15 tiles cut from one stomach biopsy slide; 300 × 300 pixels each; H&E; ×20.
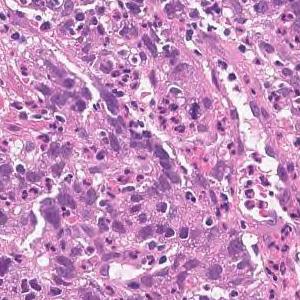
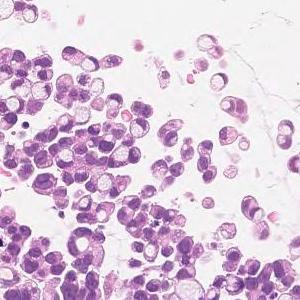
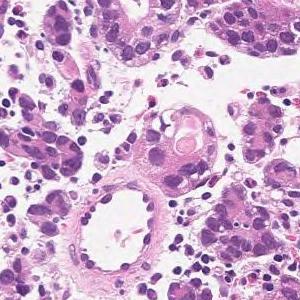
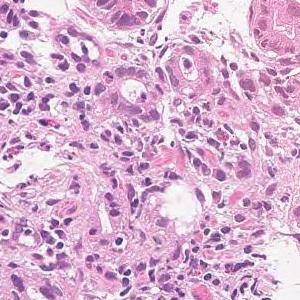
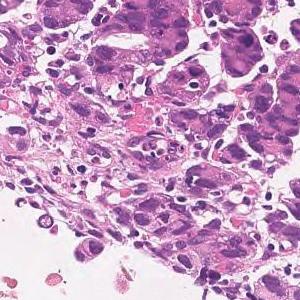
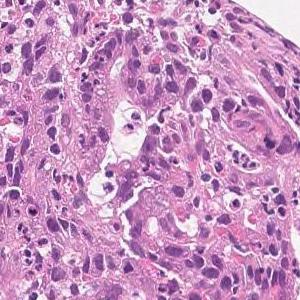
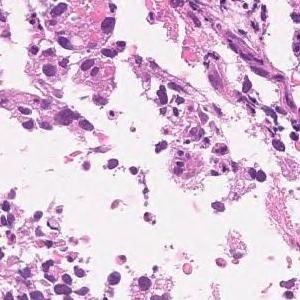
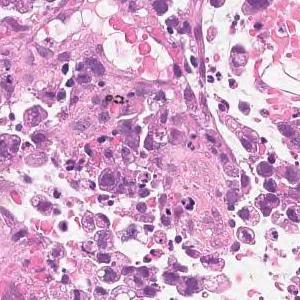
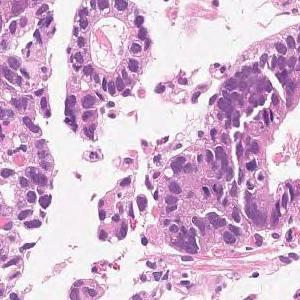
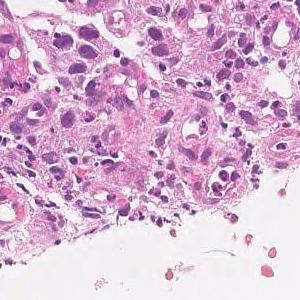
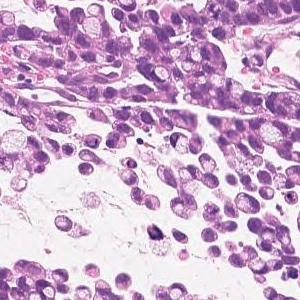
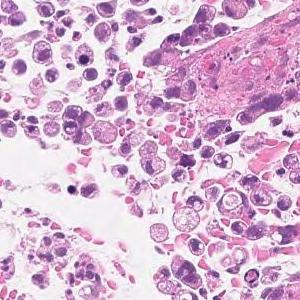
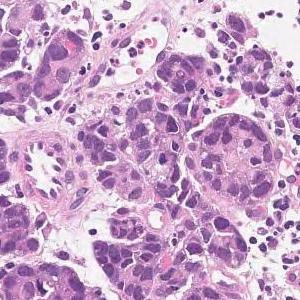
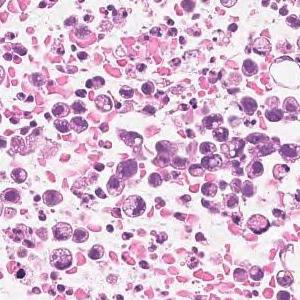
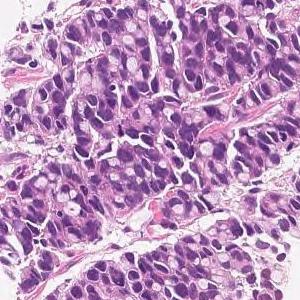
Diagnostic report for the slide these tiles come from. The report and the diagnosis describe the slide as a whole, so these tiles may not show every feature named and may include non-tumor tissue.
Medium to small, irregular glandular ducts are formed in the superficial epithelium, and in some cases, the glandular ducts are fused to show solid alveolar lesions and infiltrating tumor tissue is observed. Moderately to poorly differentiated adenocarcinoma.
